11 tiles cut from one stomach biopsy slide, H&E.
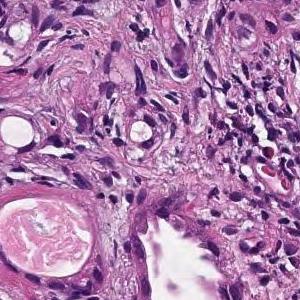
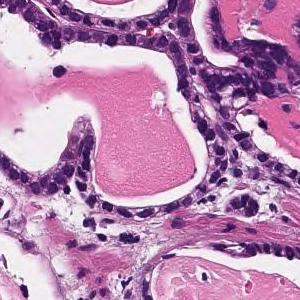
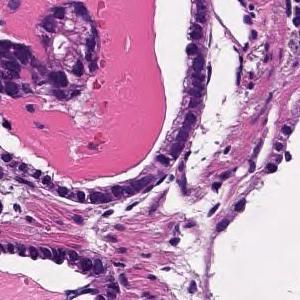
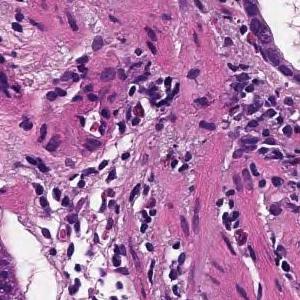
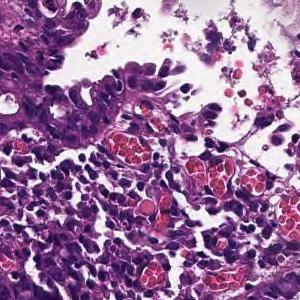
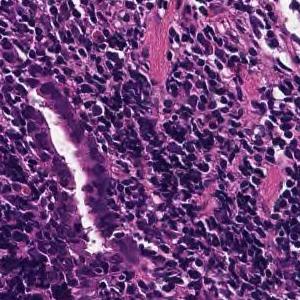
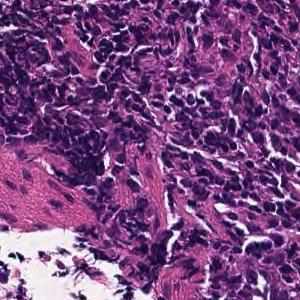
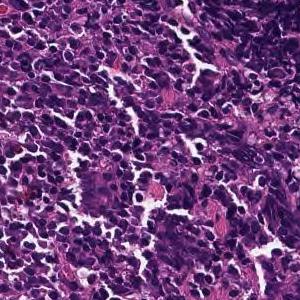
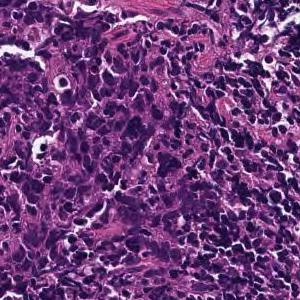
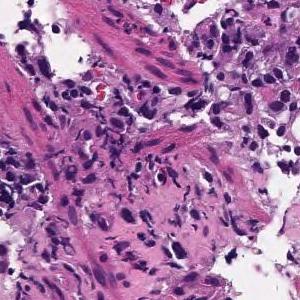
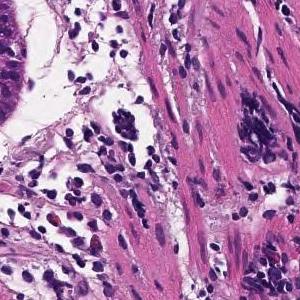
Report on the slide these tiles come from. The findings and the diagnosis refer to the entire slide; these tiles show only part of it, possibly with non-tumor tissue, and may not show every feature named.
Tumor tissue consisting of medium-sized, cord-like or irregular glandular infiltration is observed in the superficial epithelium. Poorly differentiated adenocarcinoma, non-solid type or moderately differentiated tubular adenocarcinoma
Histological subtype: Moderately to poorly differentiated adenocarcinoma.
The term "non-solid type" comes from the Japanese Classification of Gastric Carcinoma.
